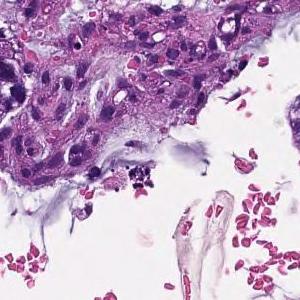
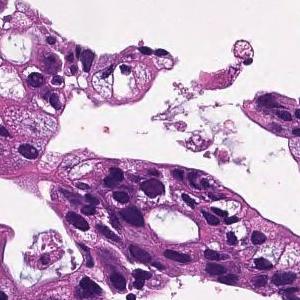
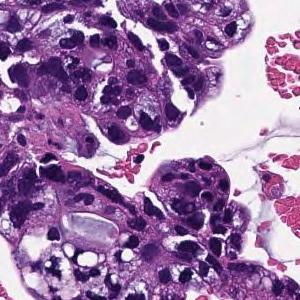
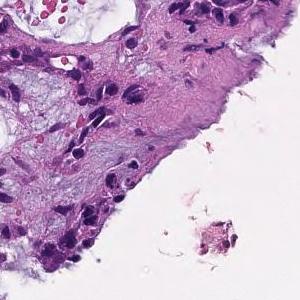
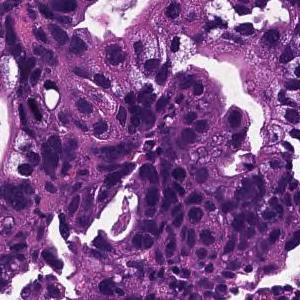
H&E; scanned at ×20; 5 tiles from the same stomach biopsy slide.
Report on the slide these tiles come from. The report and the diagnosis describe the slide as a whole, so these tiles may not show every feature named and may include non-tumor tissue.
In the superficial epithelium, tumor tissue that invades by forming medium-sized to small, irregular ducts is observed. moderately differentiated tubular adenocarcinoma.
